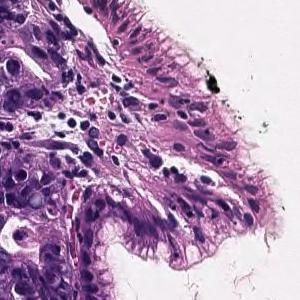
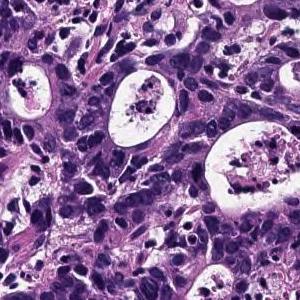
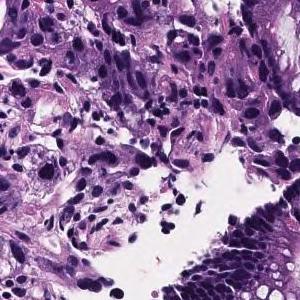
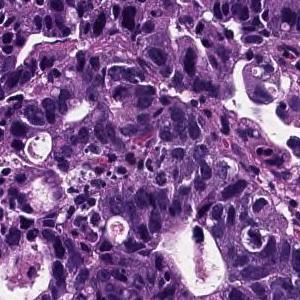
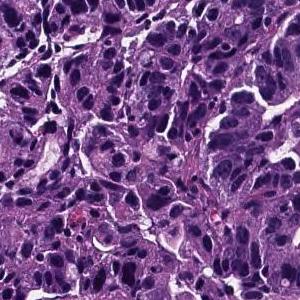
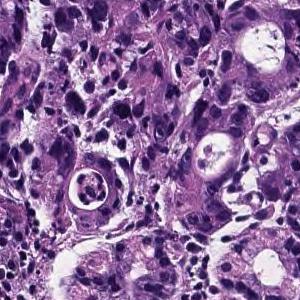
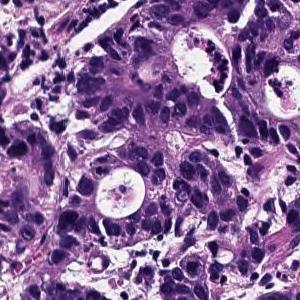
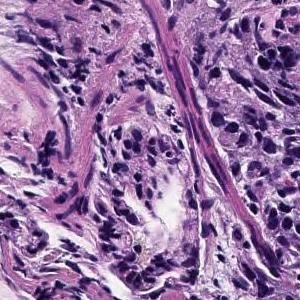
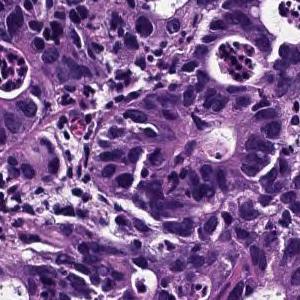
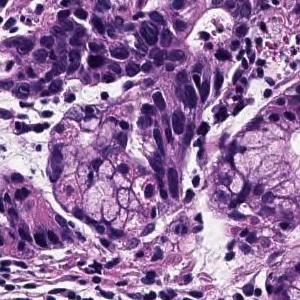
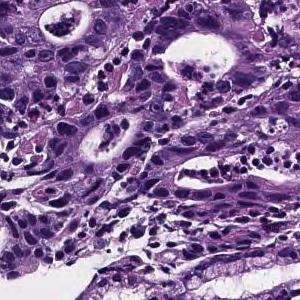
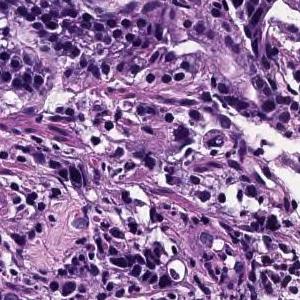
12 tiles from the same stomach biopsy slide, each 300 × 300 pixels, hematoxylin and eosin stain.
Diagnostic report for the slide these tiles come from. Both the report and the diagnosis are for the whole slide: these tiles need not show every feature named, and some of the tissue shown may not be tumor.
In the superficial epithelium, tumor tissue that invades by forming medium-sized to small, irregular ducts is observed. moderately differentiated tubular adenocarcinoma.
